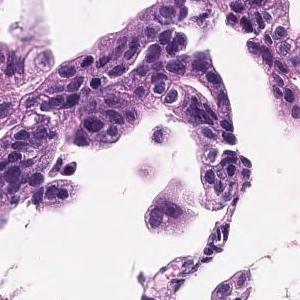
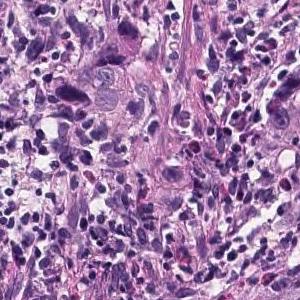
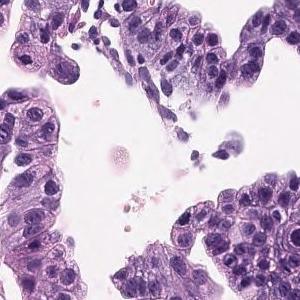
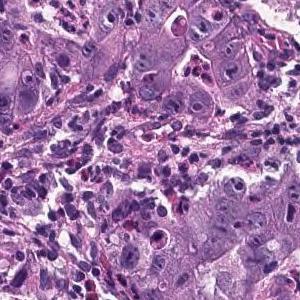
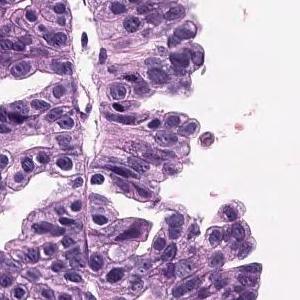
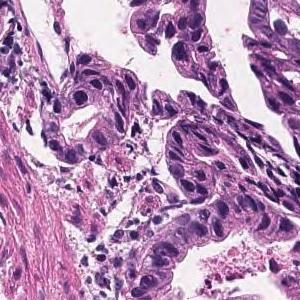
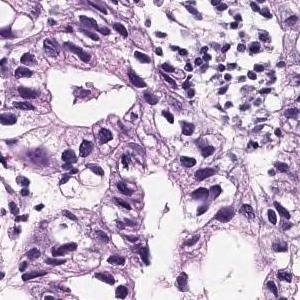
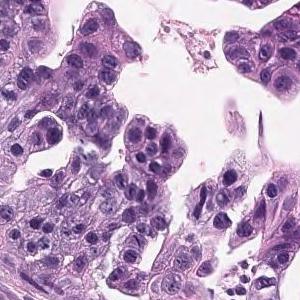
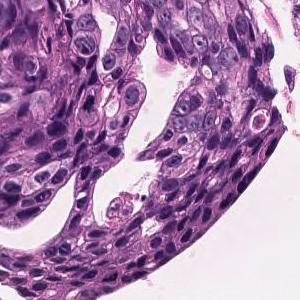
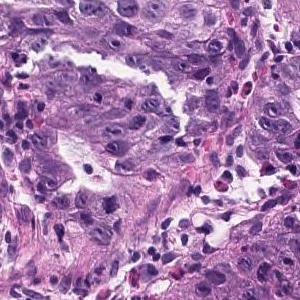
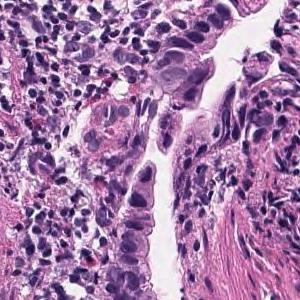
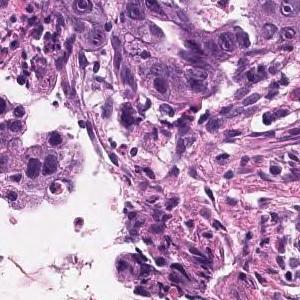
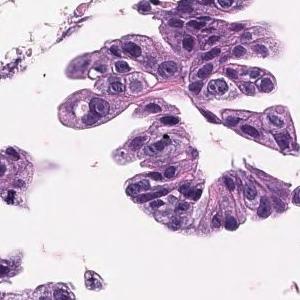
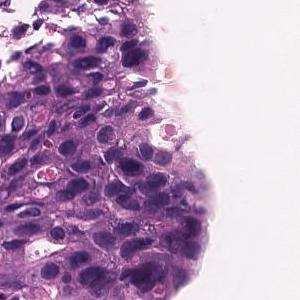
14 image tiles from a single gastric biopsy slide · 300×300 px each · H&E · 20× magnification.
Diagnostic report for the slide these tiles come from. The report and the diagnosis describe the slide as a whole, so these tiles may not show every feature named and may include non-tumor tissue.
Tumor cells are large, highly columnar, large club-shaped nuclei, and are associated with chromatin aggregation. Papillary adenocarcinoma.
